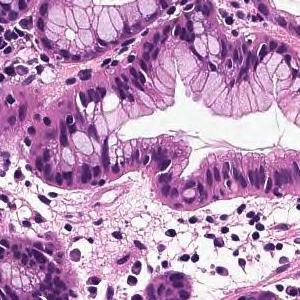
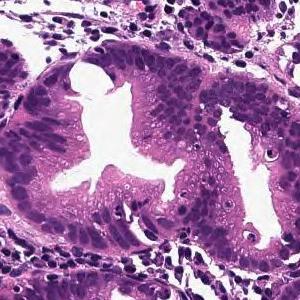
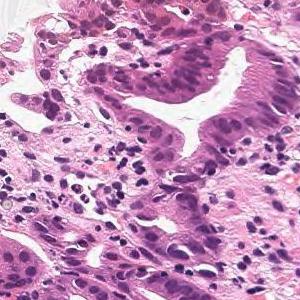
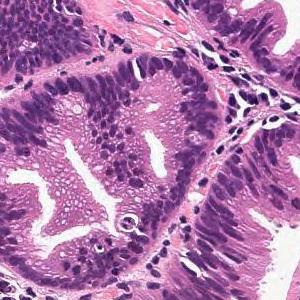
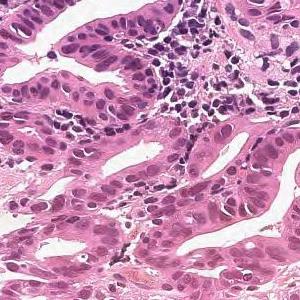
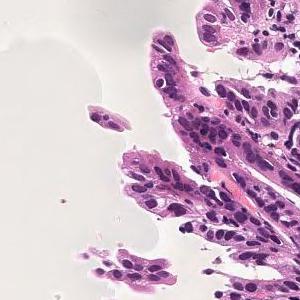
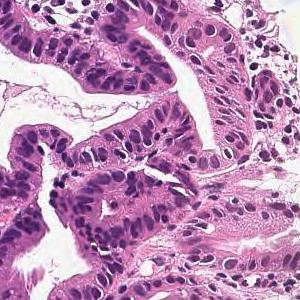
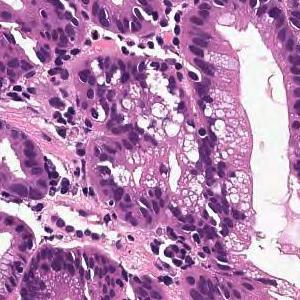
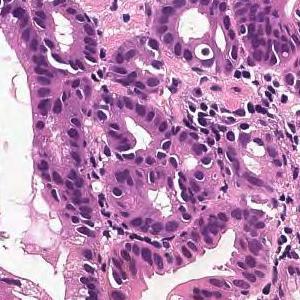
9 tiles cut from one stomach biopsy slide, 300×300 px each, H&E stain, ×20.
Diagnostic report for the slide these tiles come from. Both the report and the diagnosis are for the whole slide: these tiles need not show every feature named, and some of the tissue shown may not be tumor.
Cells with elliptical or atypical nuclei form dense ducts with relatively clear growth. Well differentiated tubular adenocarcinoma
